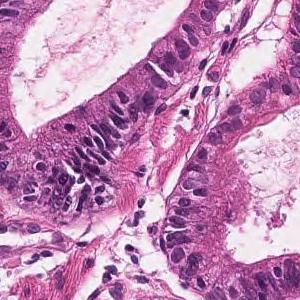
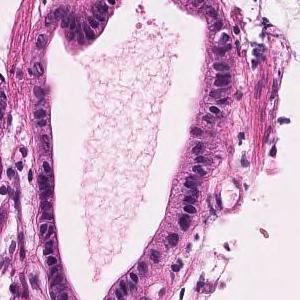
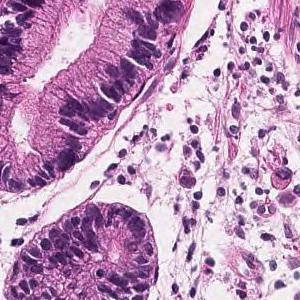
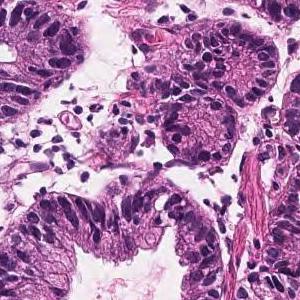
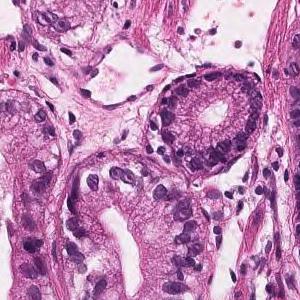
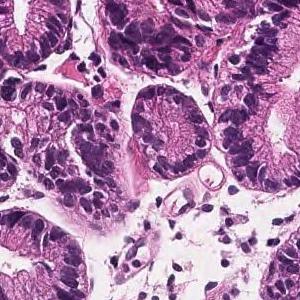
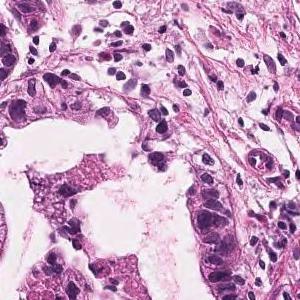
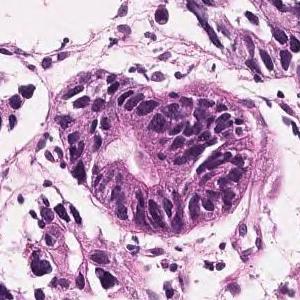
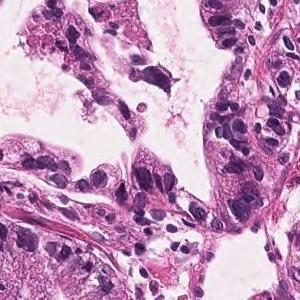
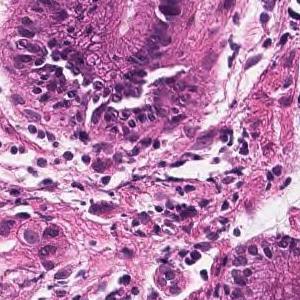
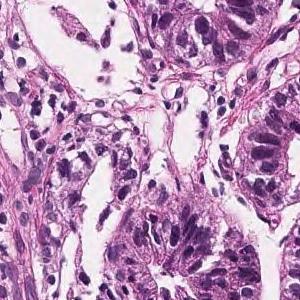
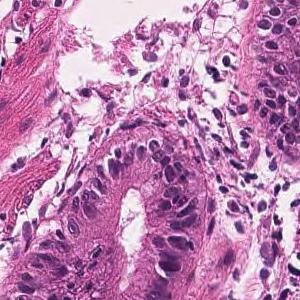
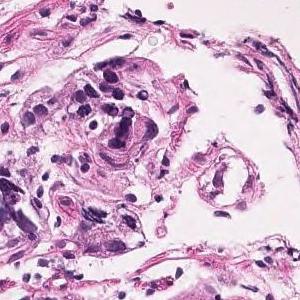
Scanned at ×20, 13 patches cut from one gastric biopsy slide, 300×300 px each.
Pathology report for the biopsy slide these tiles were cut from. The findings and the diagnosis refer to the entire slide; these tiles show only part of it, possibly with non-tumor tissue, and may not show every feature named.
On the superficial epithelium, tumor tissue that infiltrates by forming medium-sized papillary or small irregular ducts is observed. Papillary adenocarcinoma
